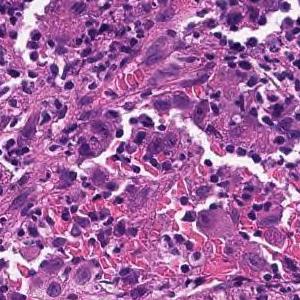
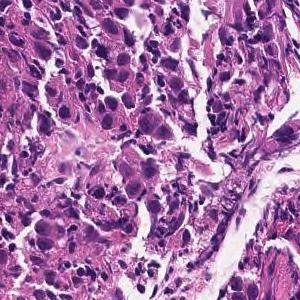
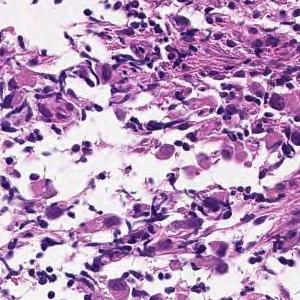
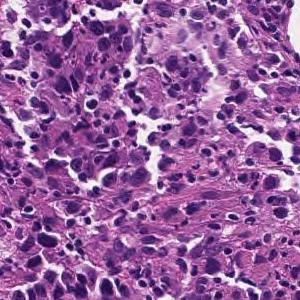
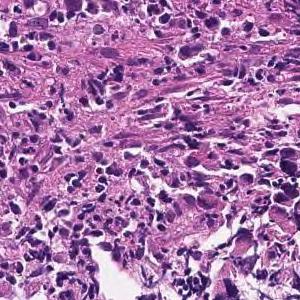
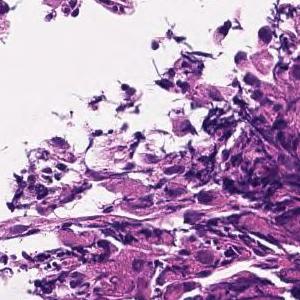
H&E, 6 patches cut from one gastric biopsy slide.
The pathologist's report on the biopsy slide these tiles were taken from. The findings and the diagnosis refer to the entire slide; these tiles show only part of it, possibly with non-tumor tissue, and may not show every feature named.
The superficial epithelium shows a large sheet-like shape, and some tumor tissue infiltrates with small irregular ducts. Poorly differentiated adenocarcinoma, solid-type (poorly differentiated adenocarcinoma, solid type)
Classified as poorly differentiated adenocarcinoma, solid type (Japanese Classification of Gastric Carcinoma). The WHO 2019 equivalent is tubular adenocarcinoma, poorly differentiated.
